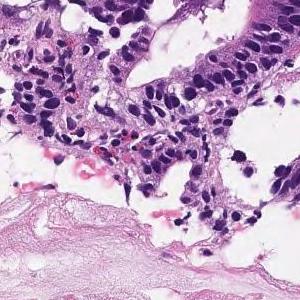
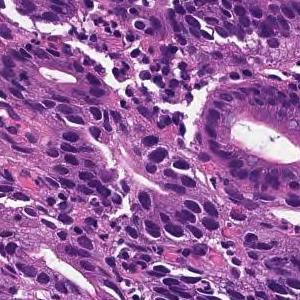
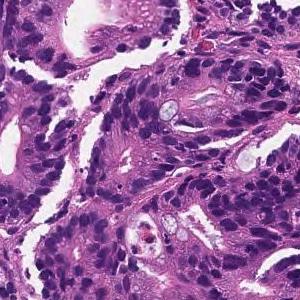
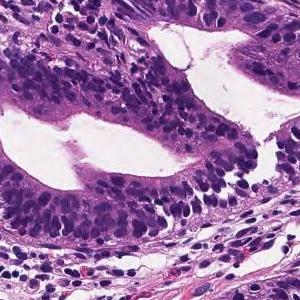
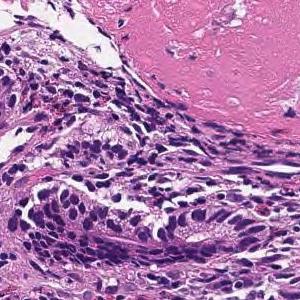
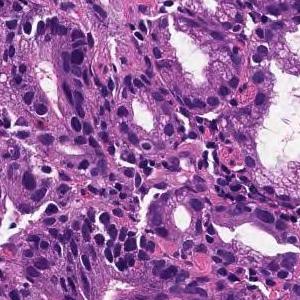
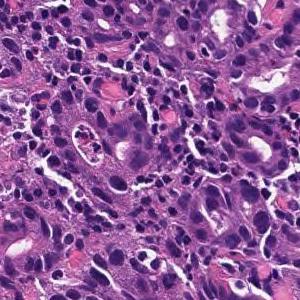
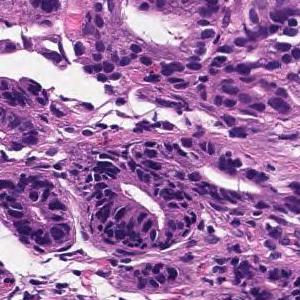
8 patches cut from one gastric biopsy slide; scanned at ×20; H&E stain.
Pathology report for the biopsy slide these tiles were cut from. The findings and the diagnosis refer to the entire slide; these tiles show only part of it, possibly with non-tumor tissue, and may not show every feature named.
In the superficial epithelium, tumor tissue that invades by forming medium-sized to small, irregular ducts is observed. moderately differentiated tubular adenocarcinoma.
